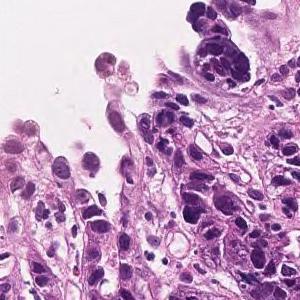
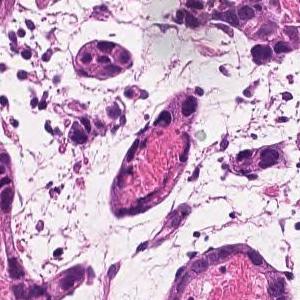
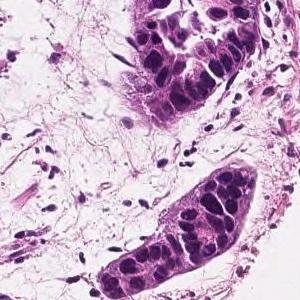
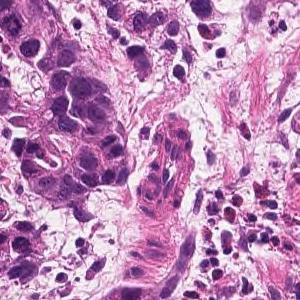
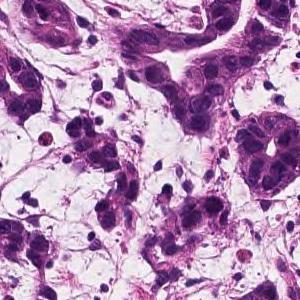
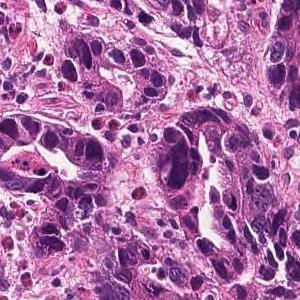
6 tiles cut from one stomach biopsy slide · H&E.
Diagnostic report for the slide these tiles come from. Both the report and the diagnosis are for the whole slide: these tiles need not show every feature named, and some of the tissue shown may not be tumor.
In the superficial epithelium, tumor tissue that invades by forming medium-sized to small, irregular ducts is observed. Well differentiated tubular adenocarcinoma.
